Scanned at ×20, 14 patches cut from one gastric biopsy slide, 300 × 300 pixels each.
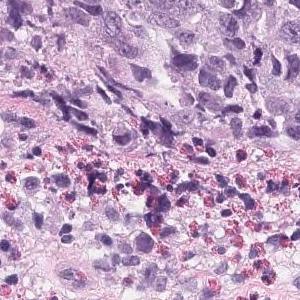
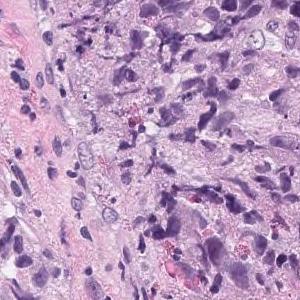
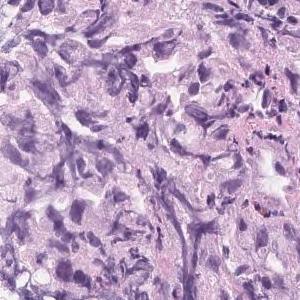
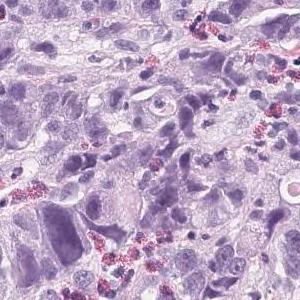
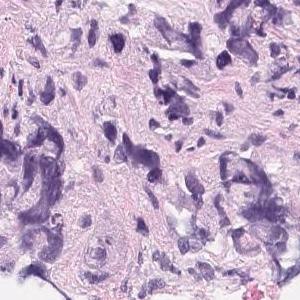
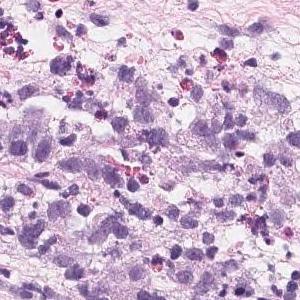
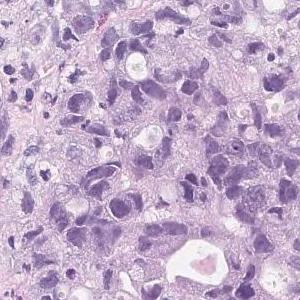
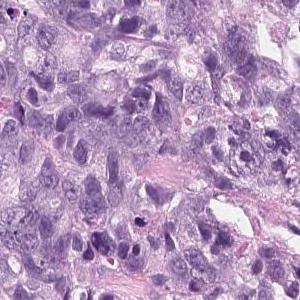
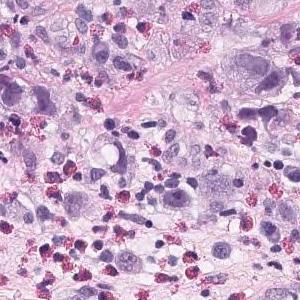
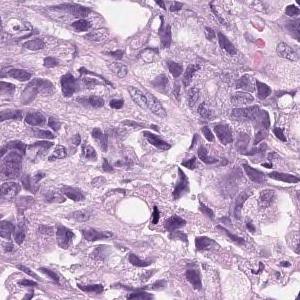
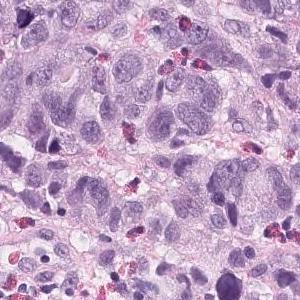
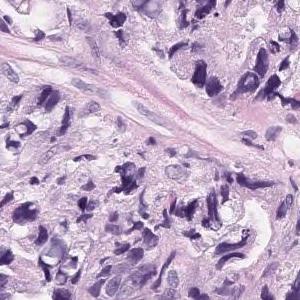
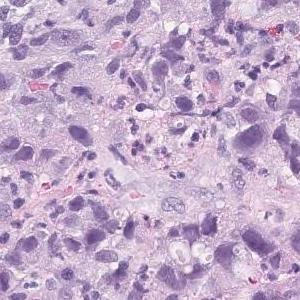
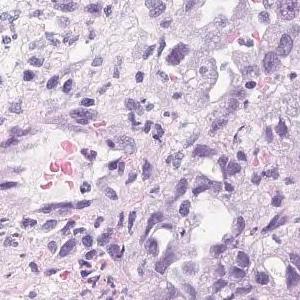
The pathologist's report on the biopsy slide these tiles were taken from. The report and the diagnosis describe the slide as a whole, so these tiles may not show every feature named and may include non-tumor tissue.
Tumor tissue that infiltrates and proliferates by forming small glandular cavities in the superficial layer to the submucosa or forming a mass is observed. moderately differentiated tubular adenocarcinoma
